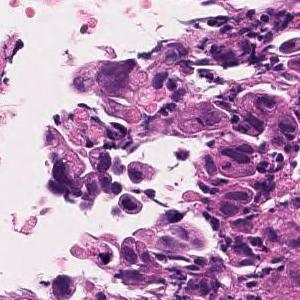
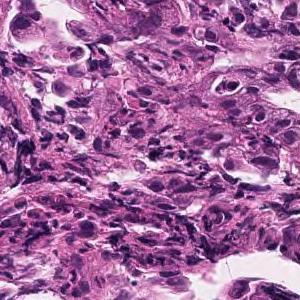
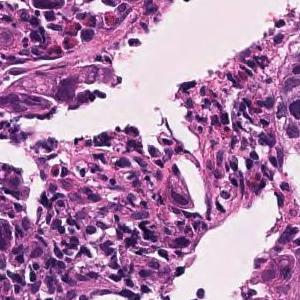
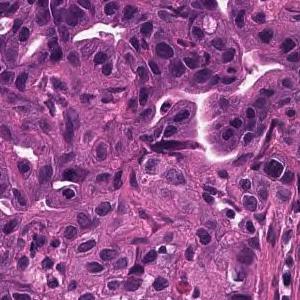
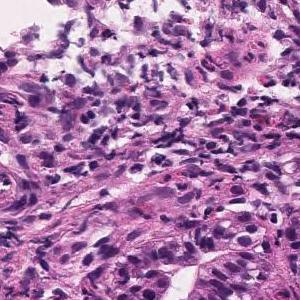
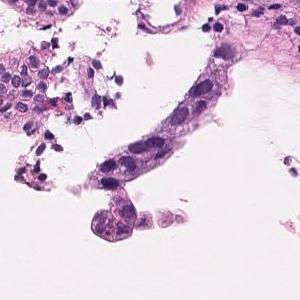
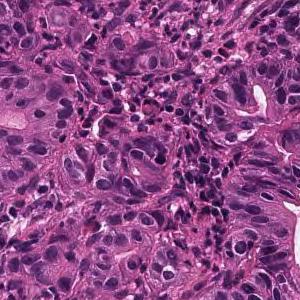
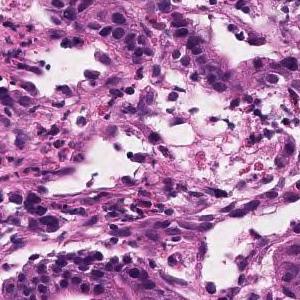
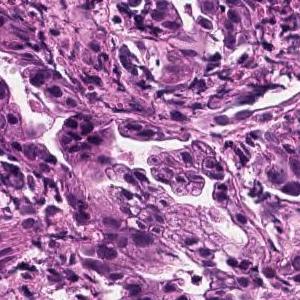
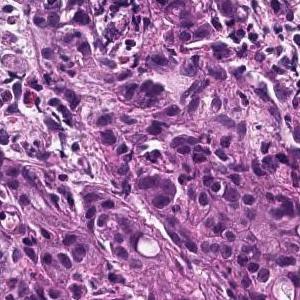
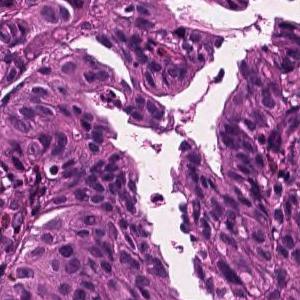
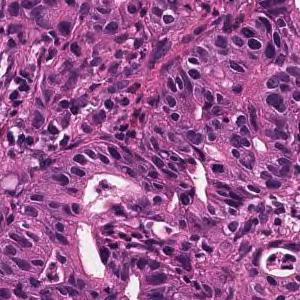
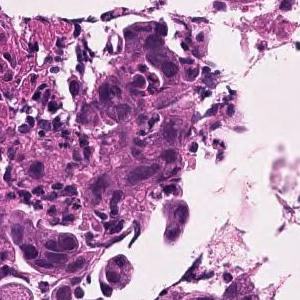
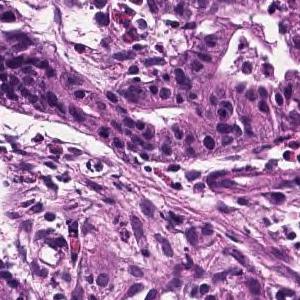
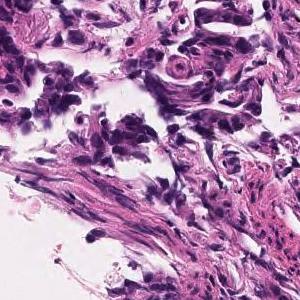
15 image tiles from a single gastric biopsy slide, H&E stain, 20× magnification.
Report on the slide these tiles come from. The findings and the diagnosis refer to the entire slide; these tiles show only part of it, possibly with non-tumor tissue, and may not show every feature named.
Tumor tissue consisting of medium-sized, cord-like or irregular glandular infiltration is observed in the superficial epithelium. Poorly differentiated adenocarcinoma, non-solid type or moderately differentiated tubular adenocarcinoma
The non-solid type named here is a Japanese Classification of Gastric Carcinoma category.
